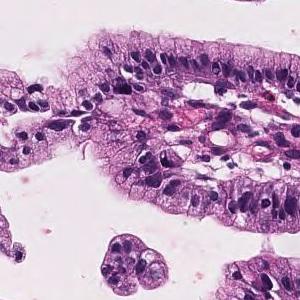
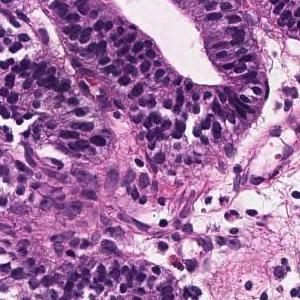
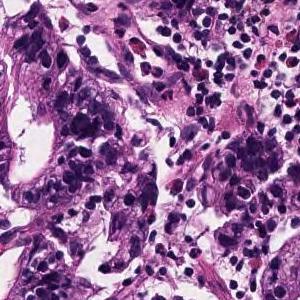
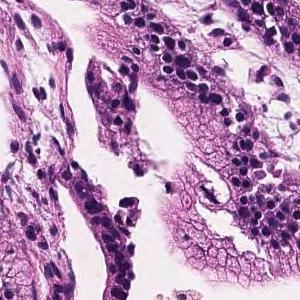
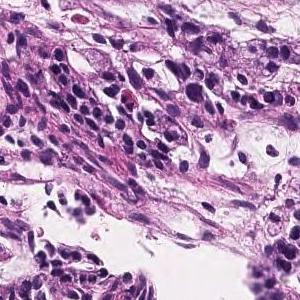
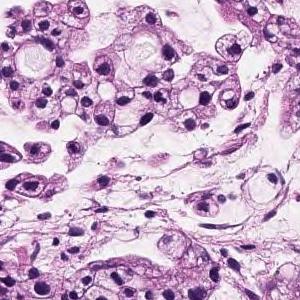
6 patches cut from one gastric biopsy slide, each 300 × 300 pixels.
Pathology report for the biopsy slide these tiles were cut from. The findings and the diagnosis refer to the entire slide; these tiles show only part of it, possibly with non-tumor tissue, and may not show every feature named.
Tumor tissue consisting of large papillary structures or irregular glandular ducts partially fused and infiltrated is observed in the superficial epithelium. Well to moderately differentiated tubular adenocarcinoma.
Dataset label: moderately differentiated tubular adenocarcinoma.
